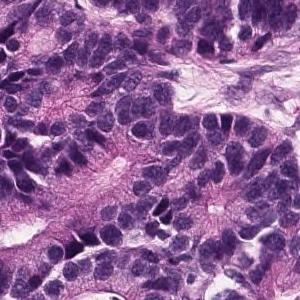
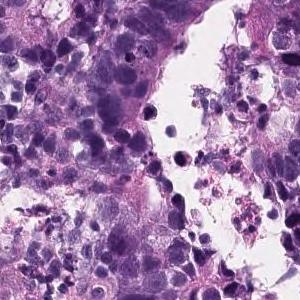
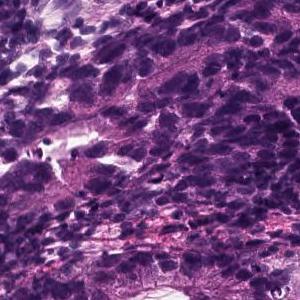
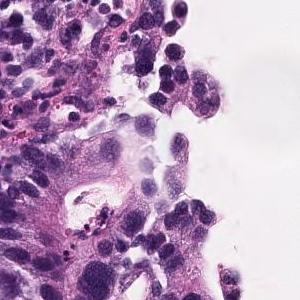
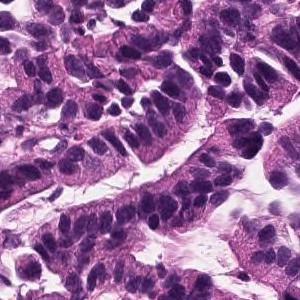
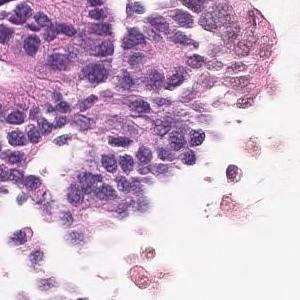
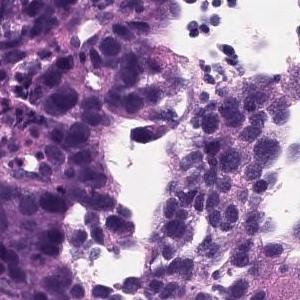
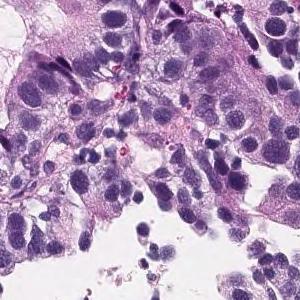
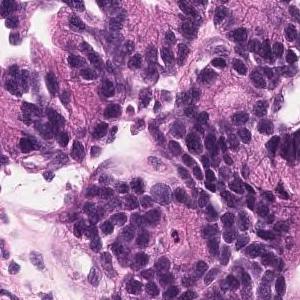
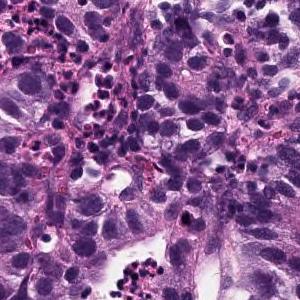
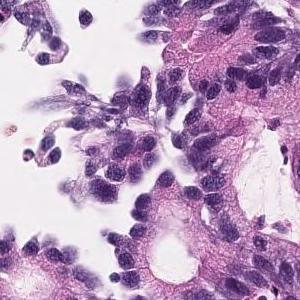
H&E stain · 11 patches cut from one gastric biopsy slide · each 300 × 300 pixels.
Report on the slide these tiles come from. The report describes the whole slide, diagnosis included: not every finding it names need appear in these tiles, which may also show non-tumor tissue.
In the superficial epithelium, tumor tissue that invades by forming medium-sized to small, irregular ducts is observed. moderately differentiated tubular adenocarcinoma.
